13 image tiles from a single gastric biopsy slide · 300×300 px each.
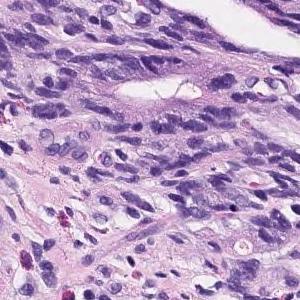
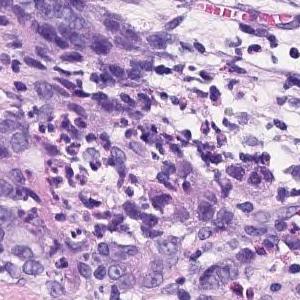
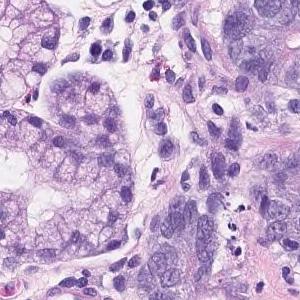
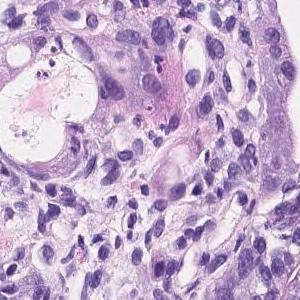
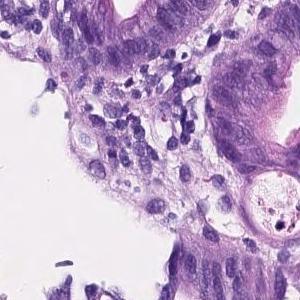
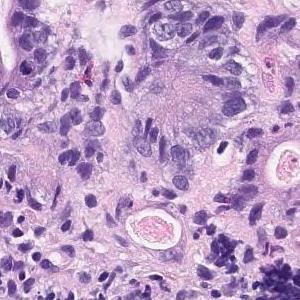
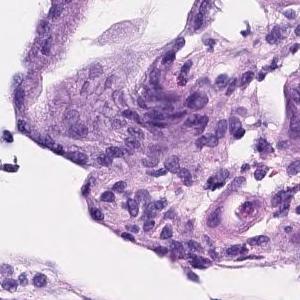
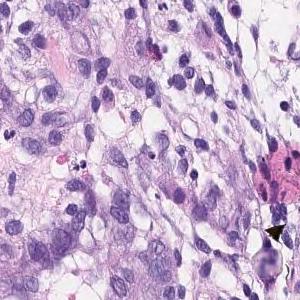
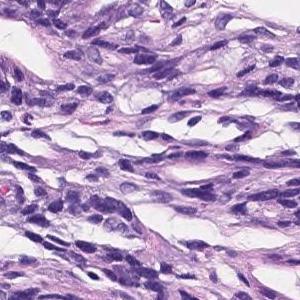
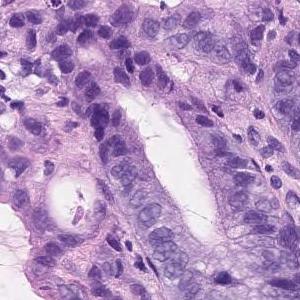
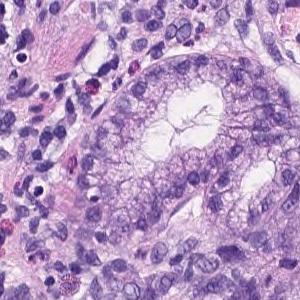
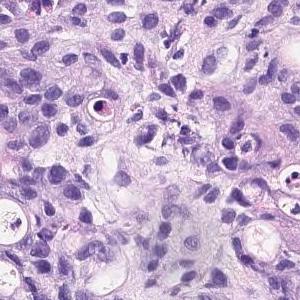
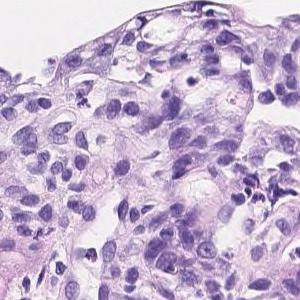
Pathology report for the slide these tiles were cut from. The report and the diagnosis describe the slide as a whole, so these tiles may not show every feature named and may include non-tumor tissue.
Irregularly fused atypical ducts proliferating while replacing existing ducts was observed. moderately differentiated tubular adenocarcinoma
